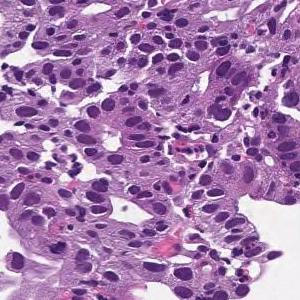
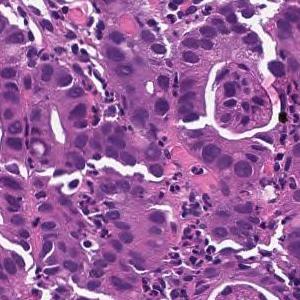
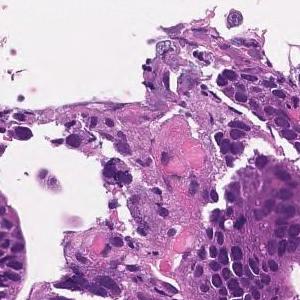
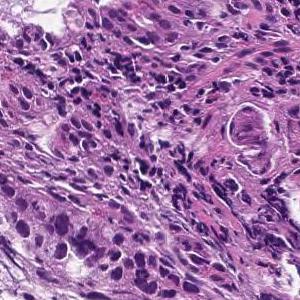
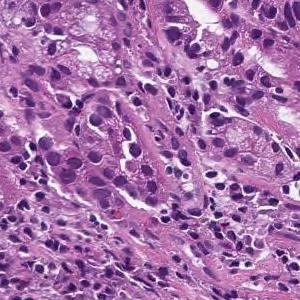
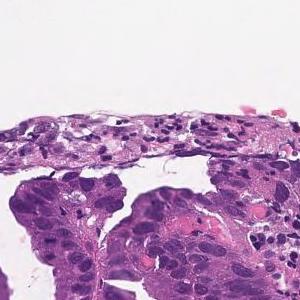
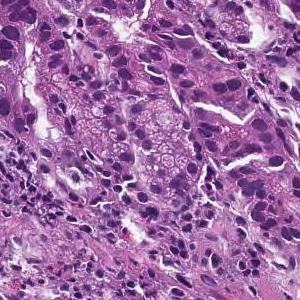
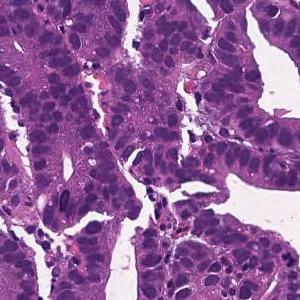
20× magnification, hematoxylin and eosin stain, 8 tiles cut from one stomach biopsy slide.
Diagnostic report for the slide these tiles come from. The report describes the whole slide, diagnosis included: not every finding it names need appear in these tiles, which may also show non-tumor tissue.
From the superficial epithelium to the muscularis mucosae, tumor tissue consisting of medium-sized and irregular glandular ducts infiltrating is observed. Well differentiated tubular adenocarcinoma
